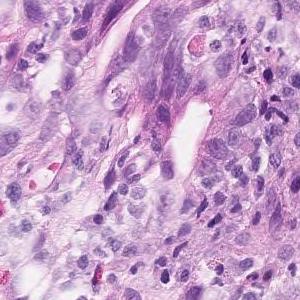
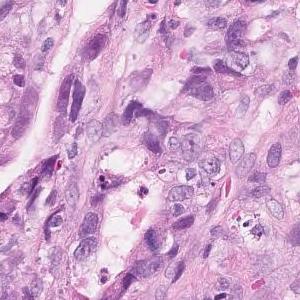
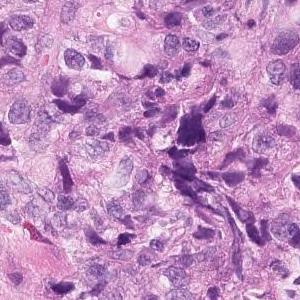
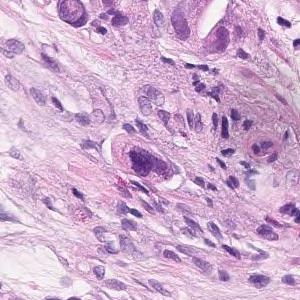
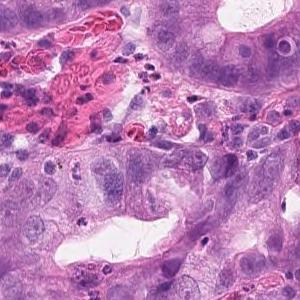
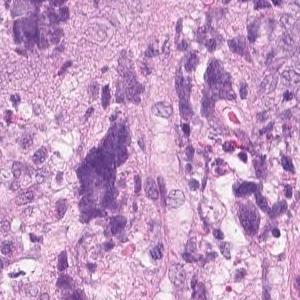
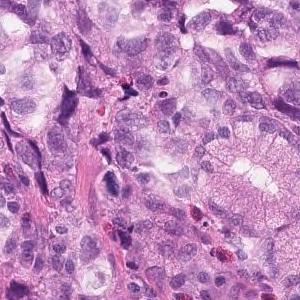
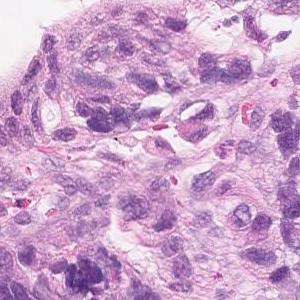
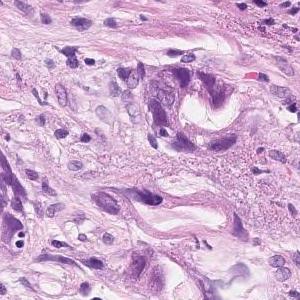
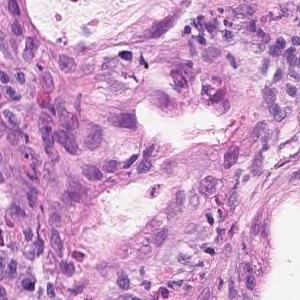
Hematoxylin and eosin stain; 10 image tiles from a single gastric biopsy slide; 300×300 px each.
Pathology report for the slide these tiles were cut from. The findings and the diagnosis refer to the entire slide; these tiles show only part of it, possibly with non-tumor tissue, and may not show every feature named.
Tumor tissue showing dense, fused or diffuse, and infiltrative growth of small atypical ducts is observed. moderately differentiated tubular adenocarcinoma
